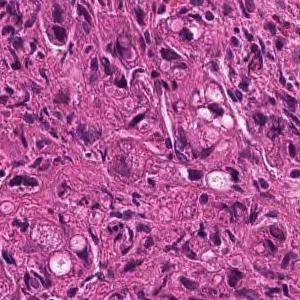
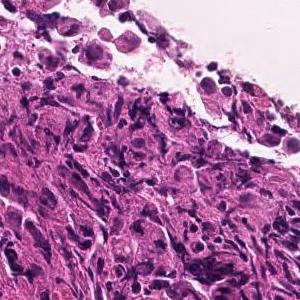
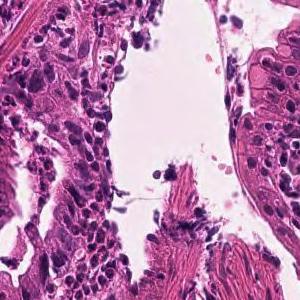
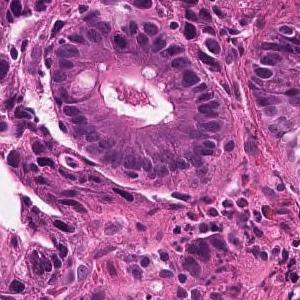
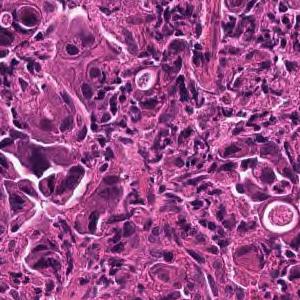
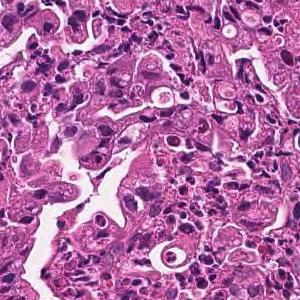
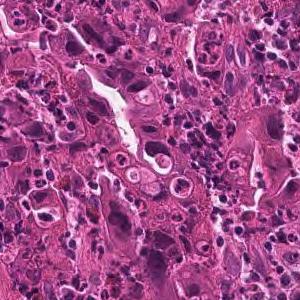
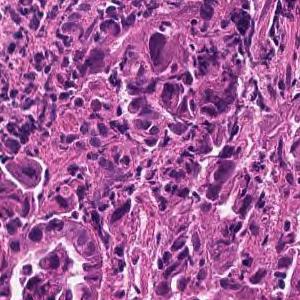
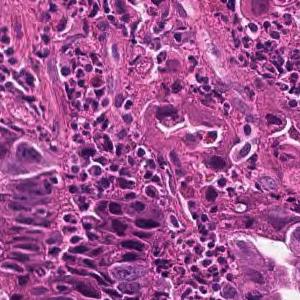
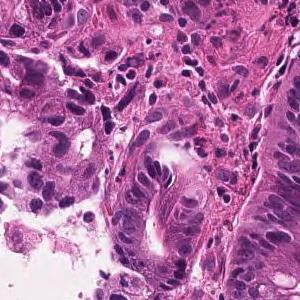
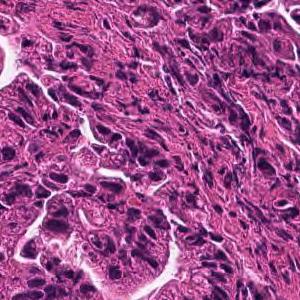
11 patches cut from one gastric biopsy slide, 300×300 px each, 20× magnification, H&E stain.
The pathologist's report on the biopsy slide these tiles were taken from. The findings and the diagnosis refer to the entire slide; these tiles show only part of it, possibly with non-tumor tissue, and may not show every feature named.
Medium to small, irregular glandular ducts are formed in the superficial epithelium, and in some cases, the glandular ducts are fused to show solid alveolar lesions and infiltrating tumor tissue is observed. Moderately to poorly differentiated adenocarcinoma.
